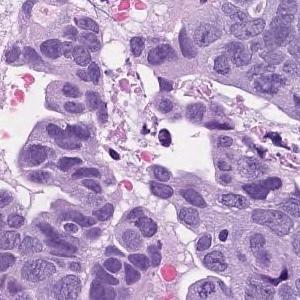
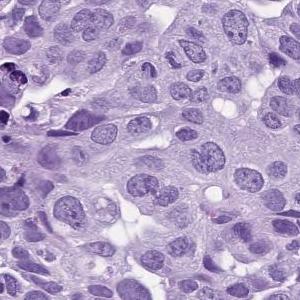
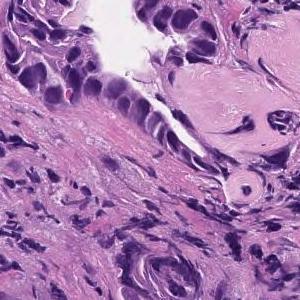
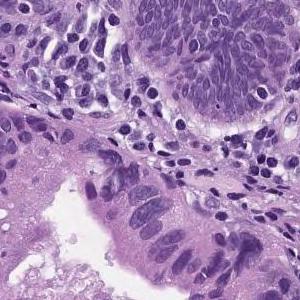
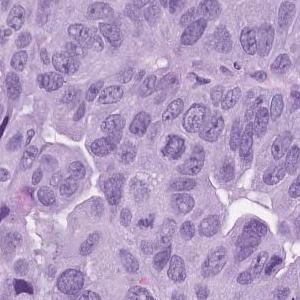
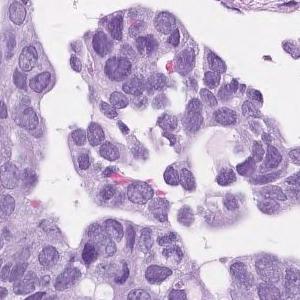
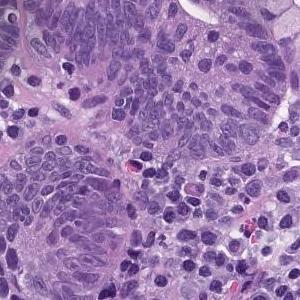
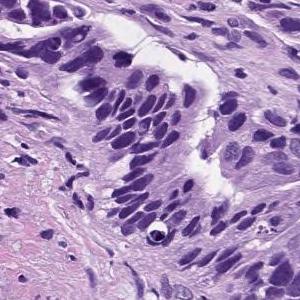
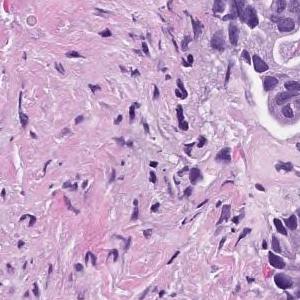
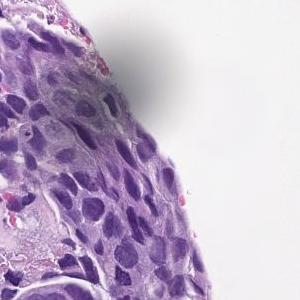
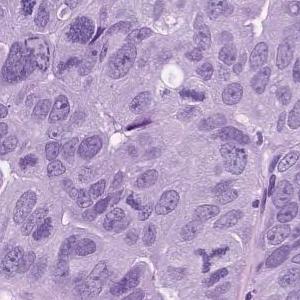
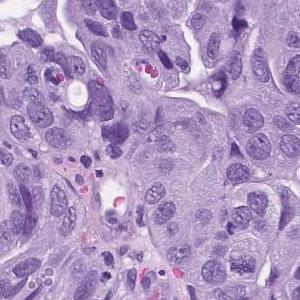
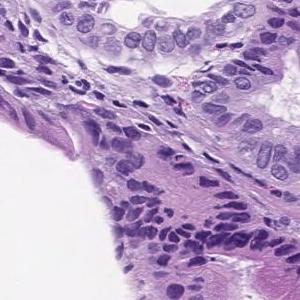
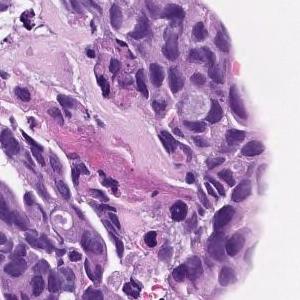
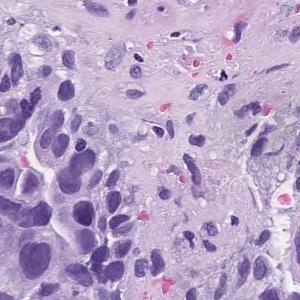
15 tiles cut from one stomach biopsy slide; H&E stain; ×20.
Report on the slide these tiles come from. The report and the diagnosis cover the entire slide, so not every feature they name need be visible here, and some tissue shown may not be tumor.
In the superficial epithelium, tumor tissue that invades by forming medium-sized to small, irregular ducts is observed. moderately differentiated tubular adenocarcinoma.
